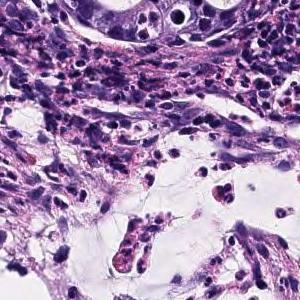
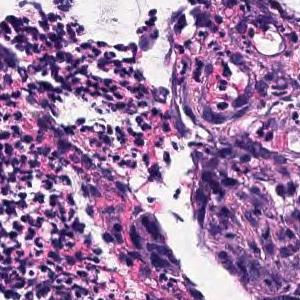
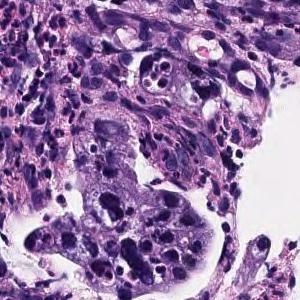
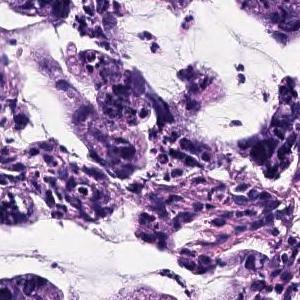
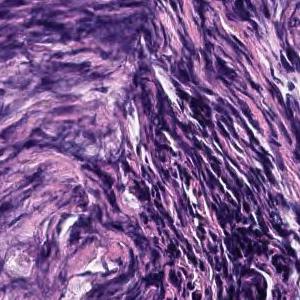
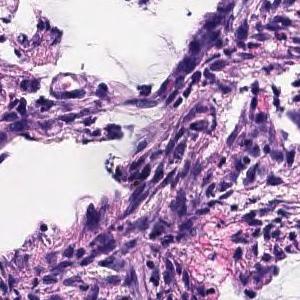
6 patches cut from one gastric biopsy slide · 300×300 px each · H&E · scanned at ×20.
Report on the slide these tiles come from. The report describes the whole slide, diagnosis included: not every finding it names need appear in these tiles, which may also show non-tumor tissue.
The superficial epithelium shows small cord-like infiltrating tumor tissue. Some part of neoplastic cells are signet ring cell type which show single invasion manner. Poorly differentiated adenocarcinoma, non-solid type.
The term "non-solid type" comes from the Japanese Classification of Gastric Carcinoma.
